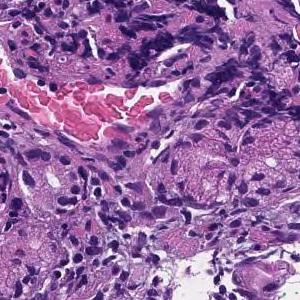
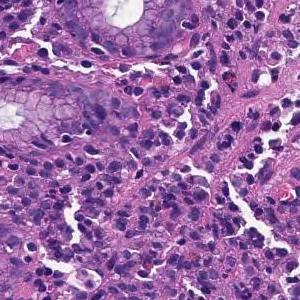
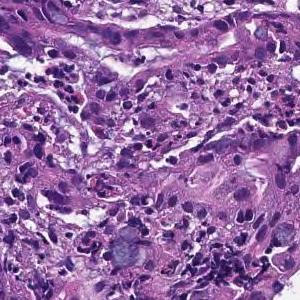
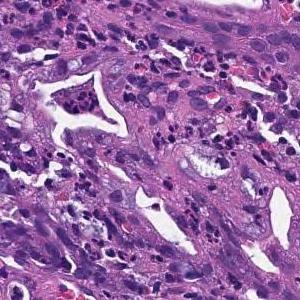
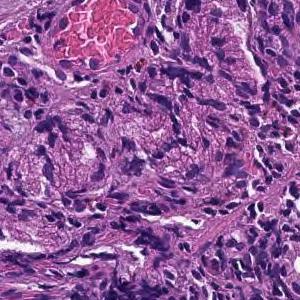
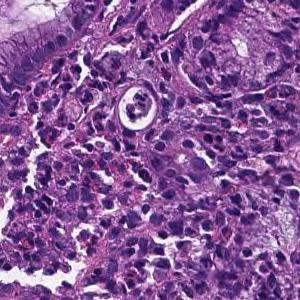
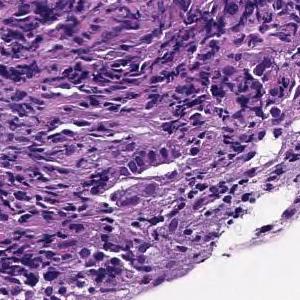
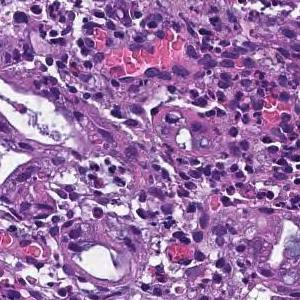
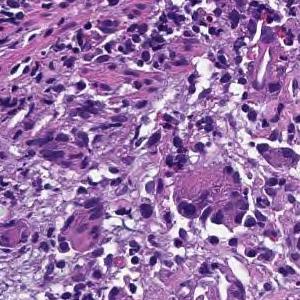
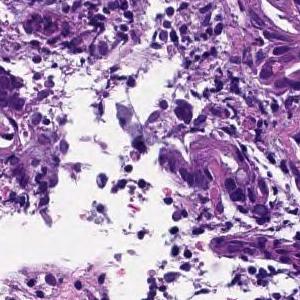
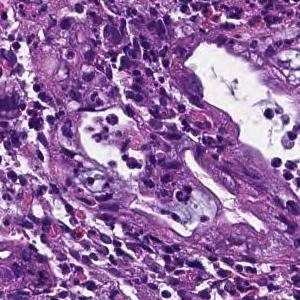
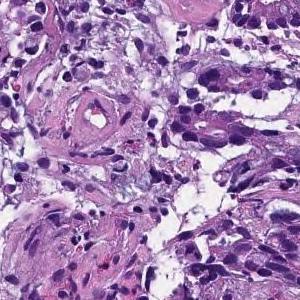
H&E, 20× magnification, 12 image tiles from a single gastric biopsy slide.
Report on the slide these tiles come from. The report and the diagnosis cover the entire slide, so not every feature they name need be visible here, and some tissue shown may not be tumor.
In the superficial epithelium, tumor tissue that invades by forming medium-sized to small, irregular ducts is observed. moderately differentiated tubular adenocarcinoma.
